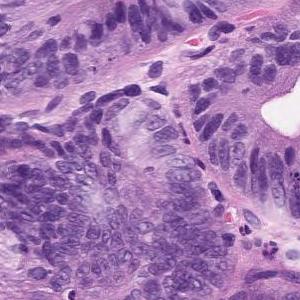
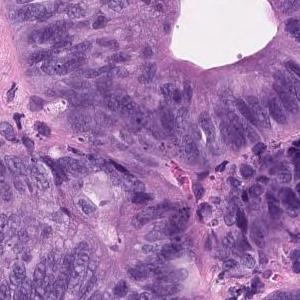
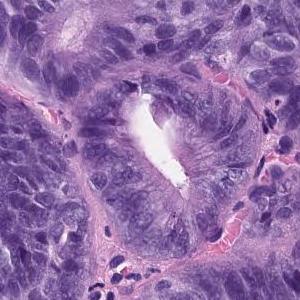
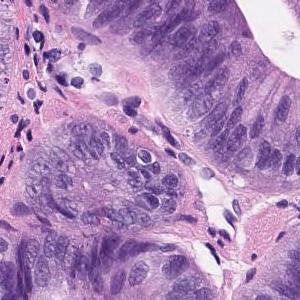
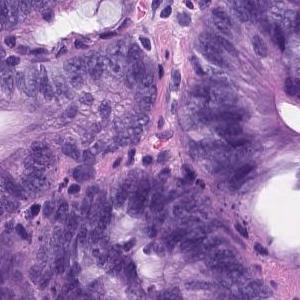
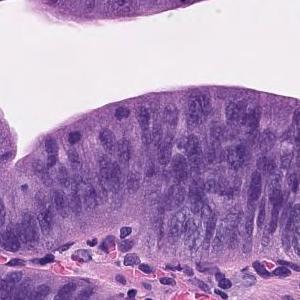
6 tiles cut from one stomach biopsy slide; each 300 × 300 pixels; H&E.
Diagnostic report for the slide these tiles come from. Both the report and the diagnosis are for the whole slide: these tiles need not show every feature named, and some of the tissue shown may not be tumor.
On the superficial epithelium, tumor tissue consisting of images of atypical ducts of different sizes partially fused and densely proliferating is observed. Well differentiated tubular adenocarcinoma
